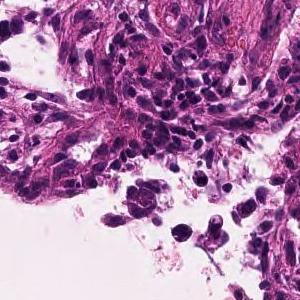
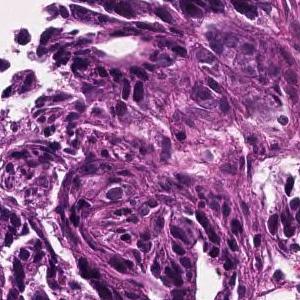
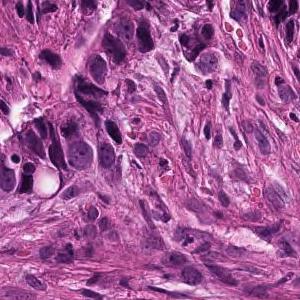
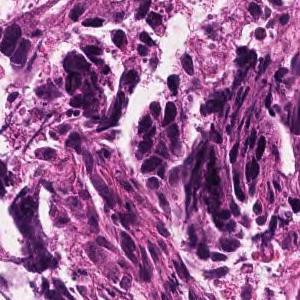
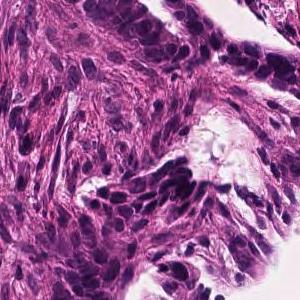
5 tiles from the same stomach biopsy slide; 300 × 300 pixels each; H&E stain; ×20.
Pathology report for the biopsy slide these tiles were cut from. What the report and the diagnosis say applies to the whole slide; these tiles may miss some of the features named and may include tissue that is not tumor.
In the superficial epithelium, tumor tissue that invades by forming medium-sized to small, irregular ducts is observed. moderately differentiated tubular adenocarcinoma.
